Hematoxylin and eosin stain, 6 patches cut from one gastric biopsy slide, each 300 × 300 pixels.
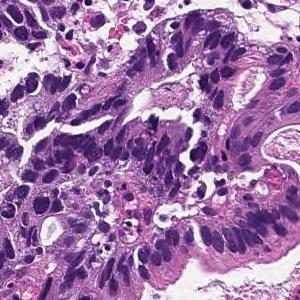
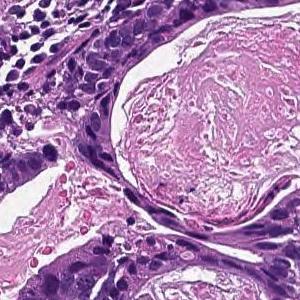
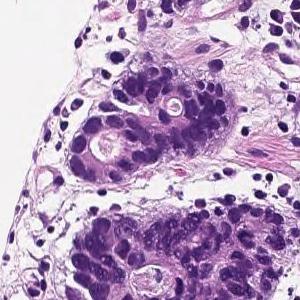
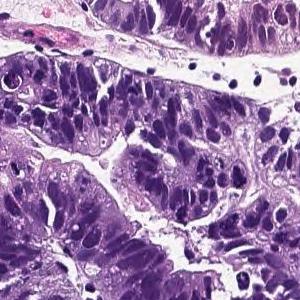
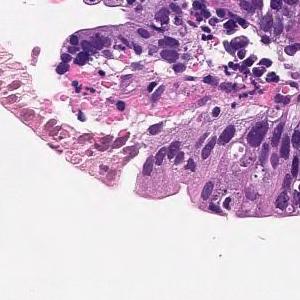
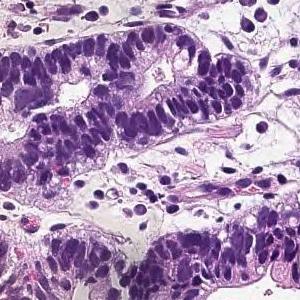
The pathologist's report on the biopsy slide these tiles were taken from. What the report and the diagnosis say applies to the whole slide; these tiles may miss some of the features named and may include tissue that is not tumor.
In the superficial epithelium, tumor tissue that invades by forming medium-sized to small, irregular ducts is observed. moderately differentiated tubular adenocarcinoma.
